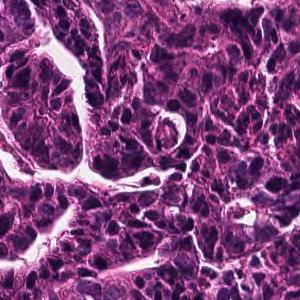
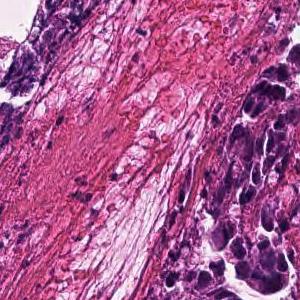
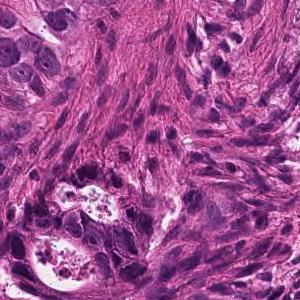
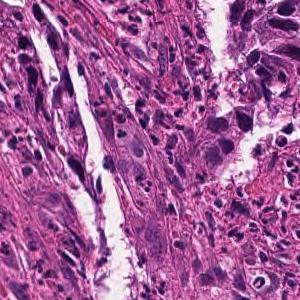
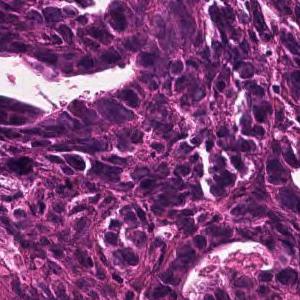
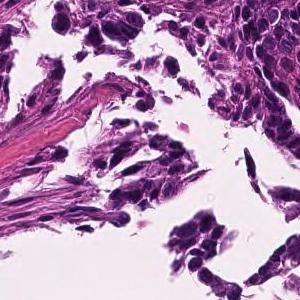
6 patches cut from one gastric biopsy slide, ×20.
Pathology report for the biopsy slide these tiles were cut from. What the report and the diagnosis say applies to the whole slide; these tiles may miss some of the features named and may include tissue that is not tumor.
In the superficial epithelium, tumor tissue that invades by forming medium-sized to small, irregular ducts is observed. moderately differentiated tubular adenocarcinoma.
